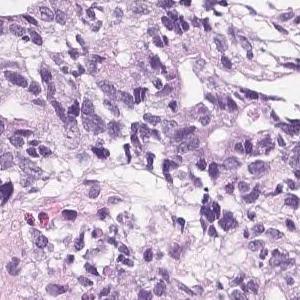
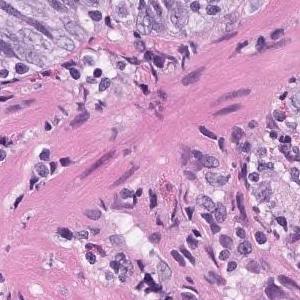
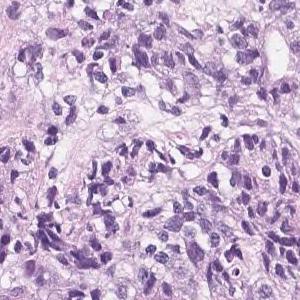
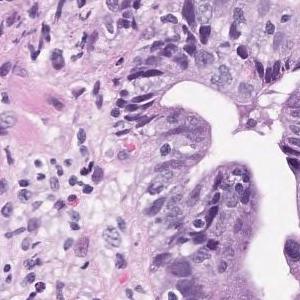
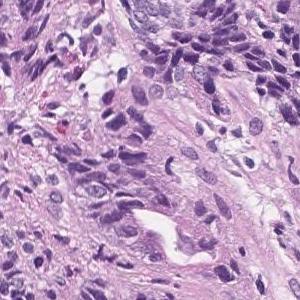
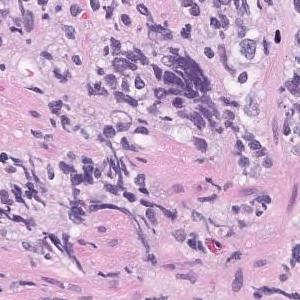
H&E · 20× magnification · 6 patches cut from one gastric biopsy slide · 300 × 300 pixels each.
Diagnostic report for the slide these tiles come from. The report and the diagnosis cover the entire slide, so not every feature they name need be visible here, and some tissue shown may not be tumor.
Highly columnar epithelium with disordered nuclear localization proliferates showing fusion ductal construction. moderately differentiated tubular adenocarcinoma
